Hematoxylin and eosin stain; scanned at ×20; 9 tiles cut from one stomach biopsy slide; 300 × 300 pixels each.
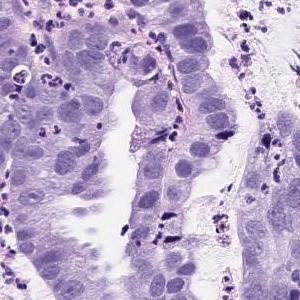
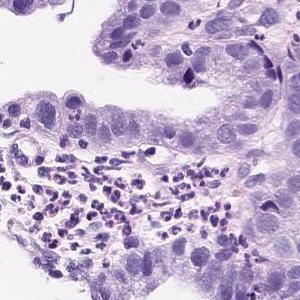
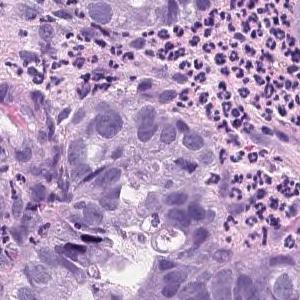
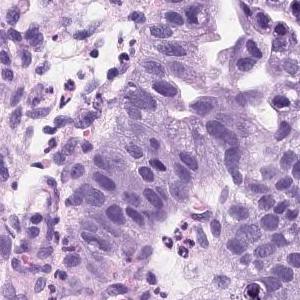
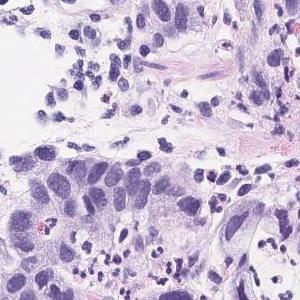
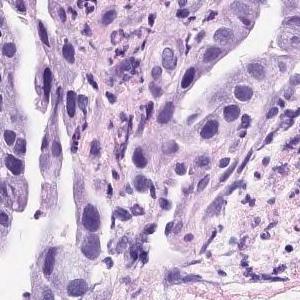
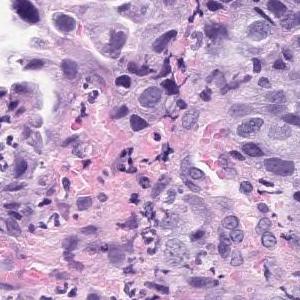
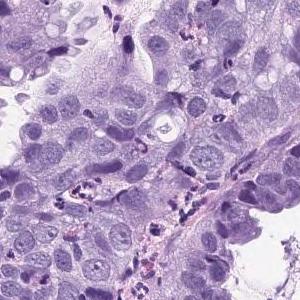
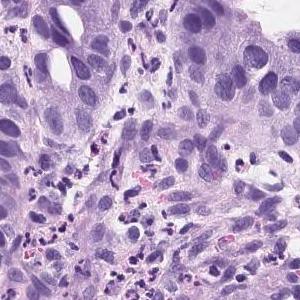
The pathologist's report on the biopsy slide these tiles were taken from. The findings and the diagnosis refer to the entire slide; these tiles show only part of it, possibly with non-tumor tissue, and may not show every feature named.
Atypical l cells with atypical nuclei forming solid or diffuse vesicles or small irregular atypical ducts and growing in a complex manner. Well differentiated tubular adenocarcinoma
